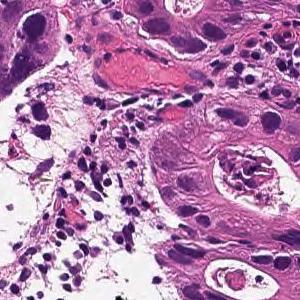
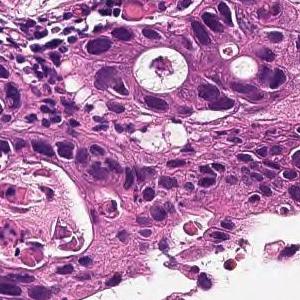
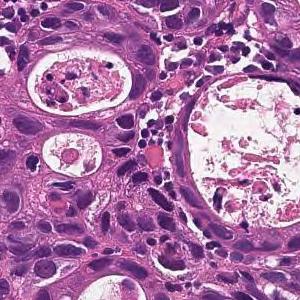
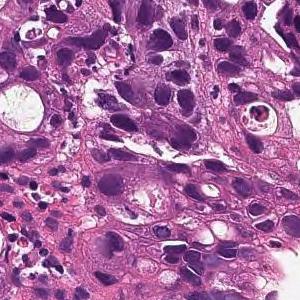
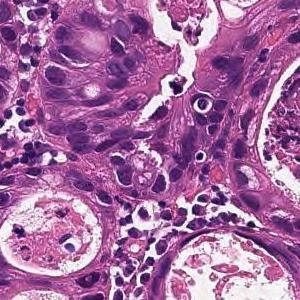
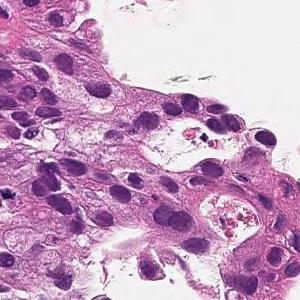
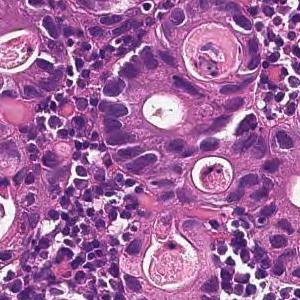
7 image tiles from a single gastric biopsy slide · 300×300 px each · hematoxylin and eosin stain.
Pathology report for the slide these tiles were cut from. The report and the diagnosis cover the entire slide, so not every feature they name need be visible here, and some tissue shown may not be tumor.
From the superficial epithelium to the muscularis mucosae, tumor tissue consisting of medium-sized and irregular glandular ducts infiltrating is observed. Well differentiated tubular adenocarcinoma
